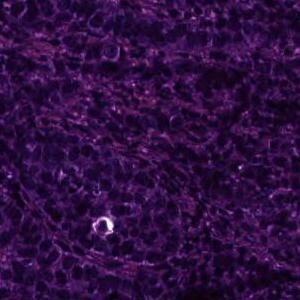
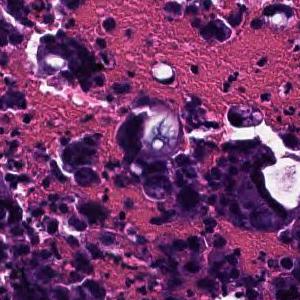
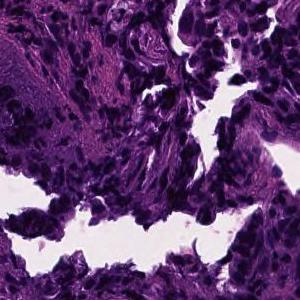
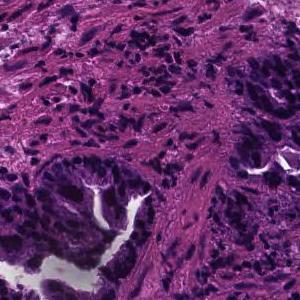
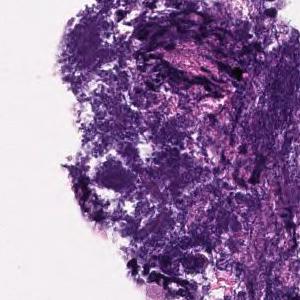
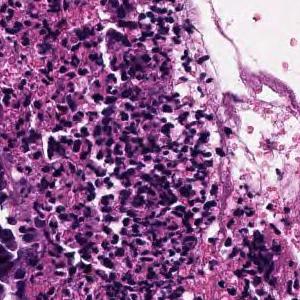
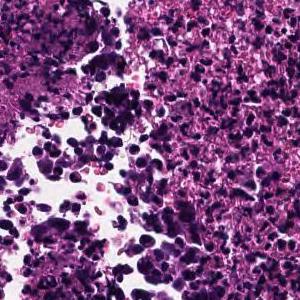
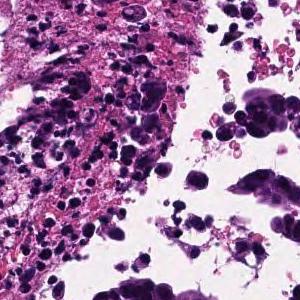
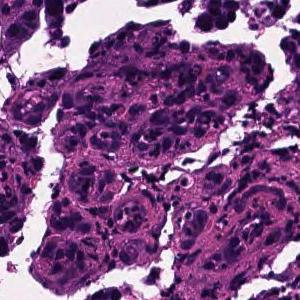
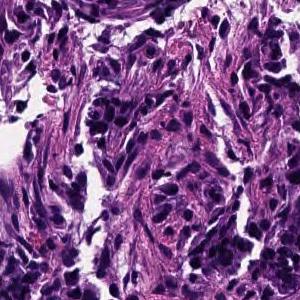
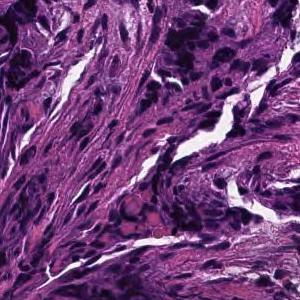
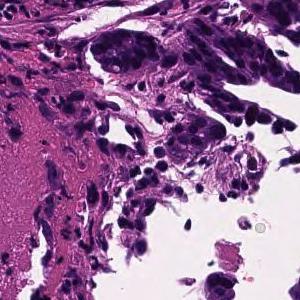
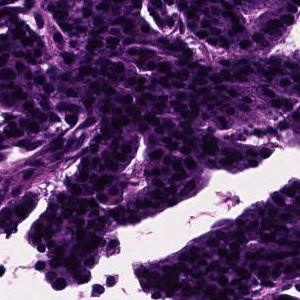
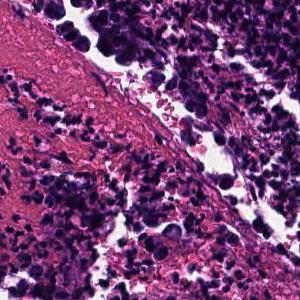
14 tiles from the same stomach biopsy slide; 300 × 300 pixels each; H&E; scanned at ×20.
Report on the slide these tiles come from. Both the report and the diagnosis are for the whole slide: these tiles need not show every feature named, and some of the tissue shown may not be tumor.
In the superficial epithelium, tumor tissue that invades by forming medium-sized to small, irregular ducts is observed. moderately differentiated tubular adenocarcinoma.
